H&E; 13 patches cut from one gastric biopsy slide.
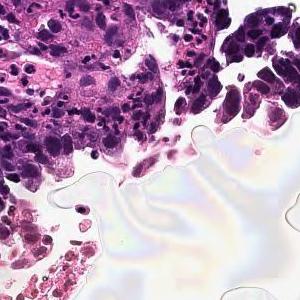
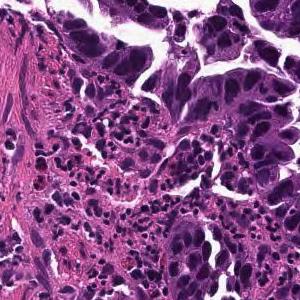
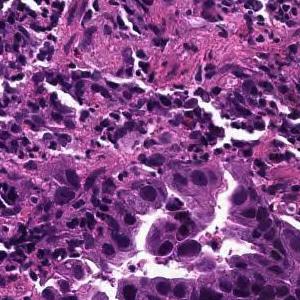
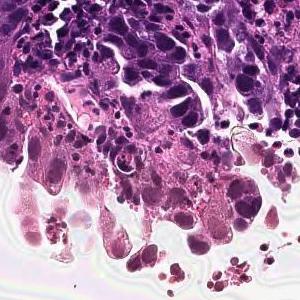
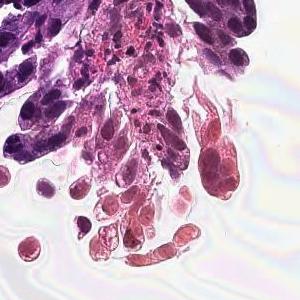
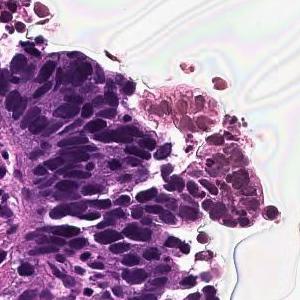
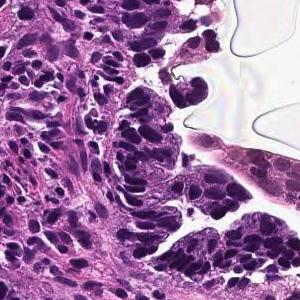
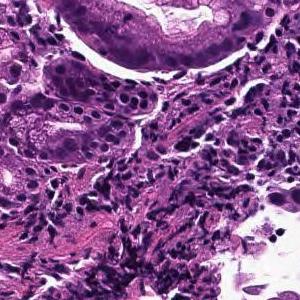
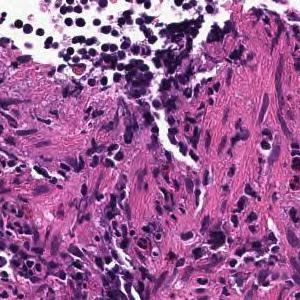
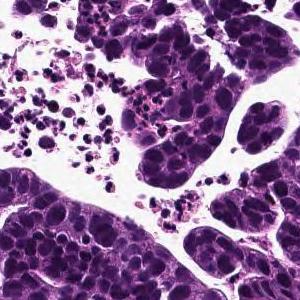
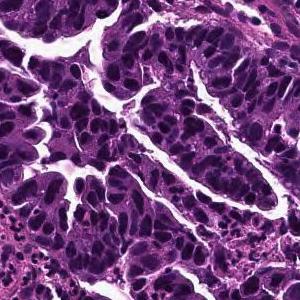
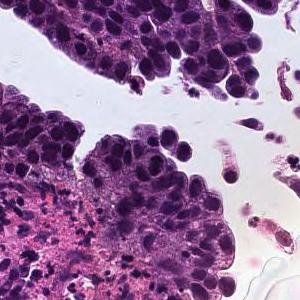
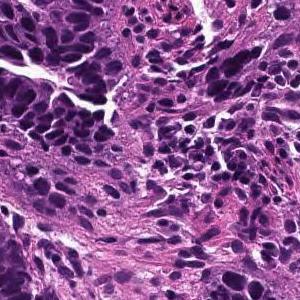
Pathology report for the slide these tiles were cut from. The report and the diagnosis describe the slide as a whole, so these tiles may not show every feature named and may include non-tumor tissue.
Tumor cells are large, highly columnar, large club-shaped nuclei, and are associated with chromatin aggregation. Papillary adenocarcinoma.
